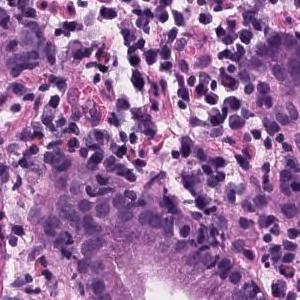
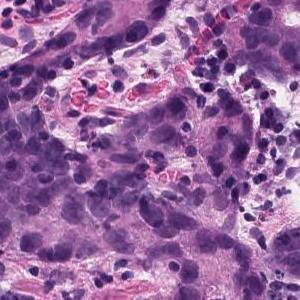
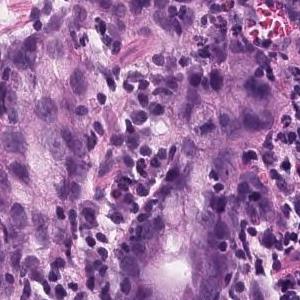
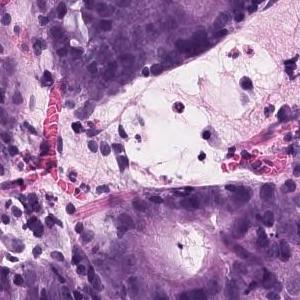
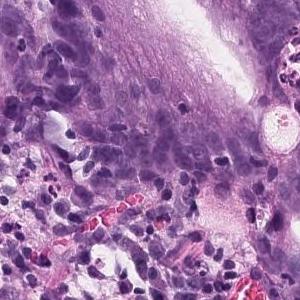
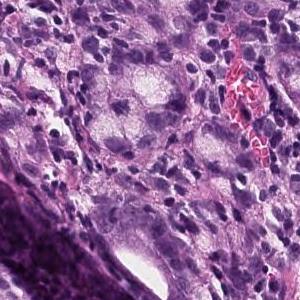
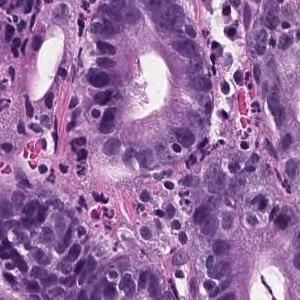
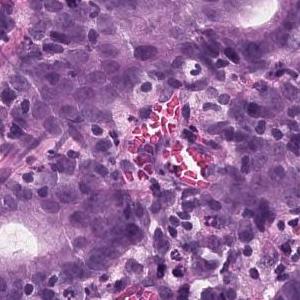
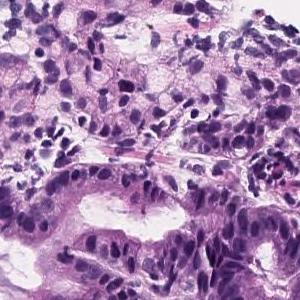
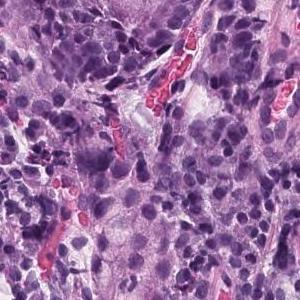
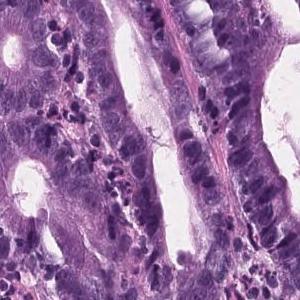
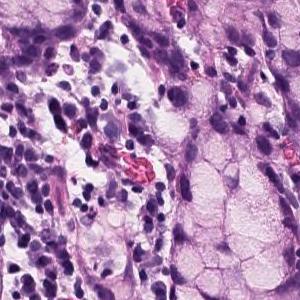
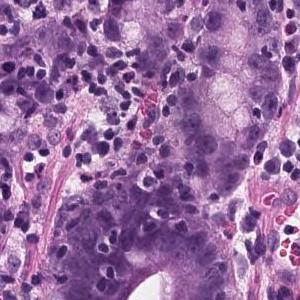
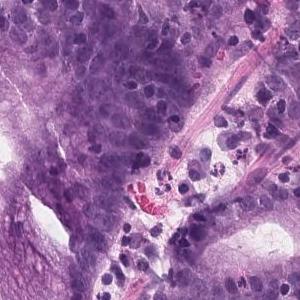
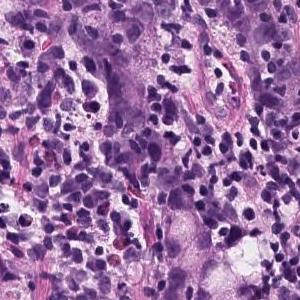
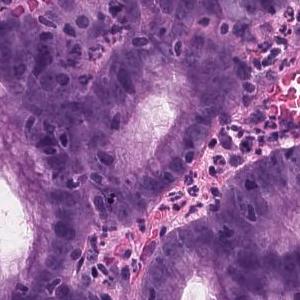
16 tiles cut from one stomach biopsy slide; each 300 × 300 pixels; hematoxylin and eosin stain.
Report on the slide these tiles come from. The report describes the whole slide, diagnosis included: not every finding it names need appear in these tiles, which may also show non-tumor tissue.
In the superficial epithelium, tumor tissue that invades by forming medium-sized to small, irregular ducts is observed. Moderately differentiated adenocarcinoma.
Histologic type: Moderately differentiated tubular adenocarcinoma.
